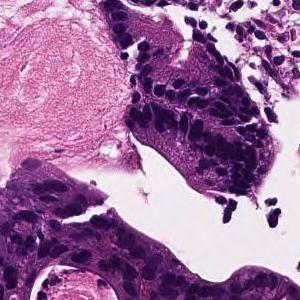
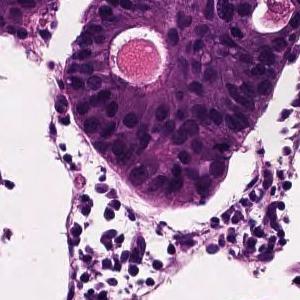
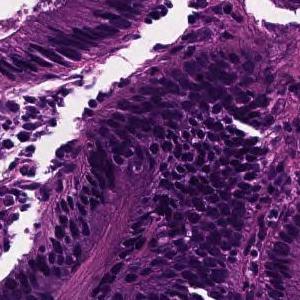
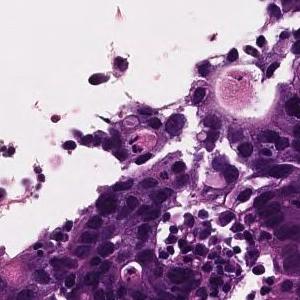
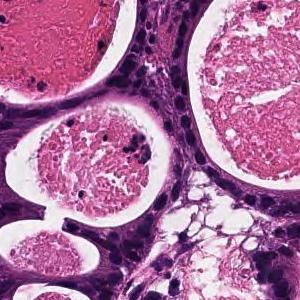
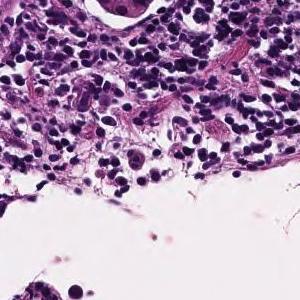
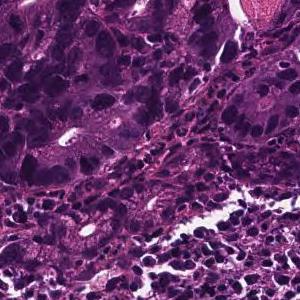
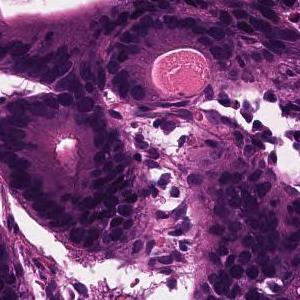
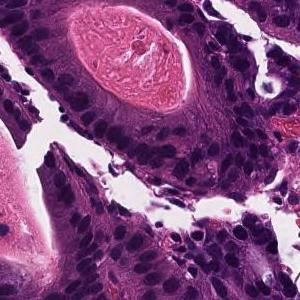
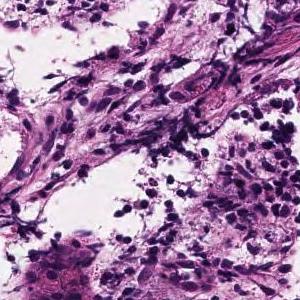
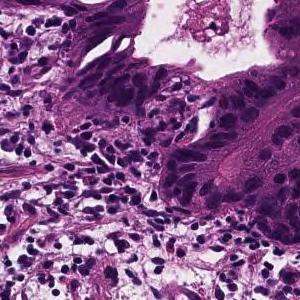
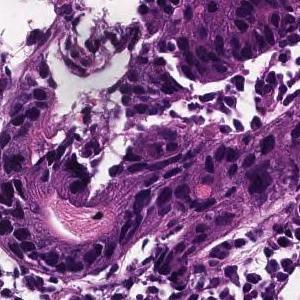
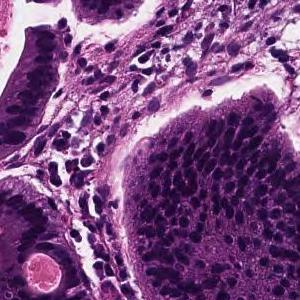
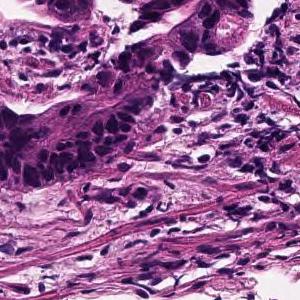
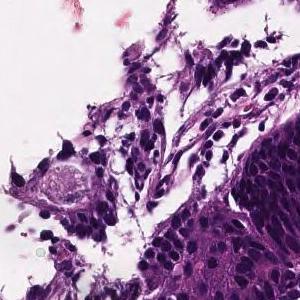
H&E, 15 patches cut from one gastric biopsy slide, 300×300 px each.
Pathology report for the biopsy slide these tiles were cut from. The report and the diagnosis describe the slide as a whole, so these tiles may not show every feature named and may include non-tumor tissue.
In the superficial epithelium, tumor tissue that invades by forming medium-sized to small, irregular ducts is observed. moderately differentiated tubular adenocarcinoma.
